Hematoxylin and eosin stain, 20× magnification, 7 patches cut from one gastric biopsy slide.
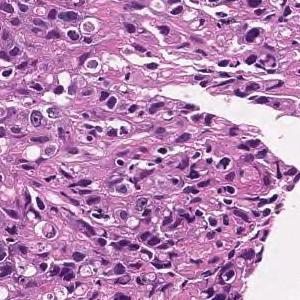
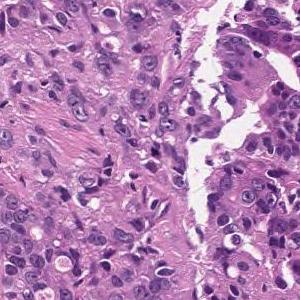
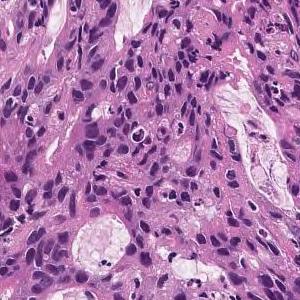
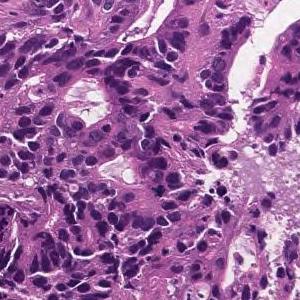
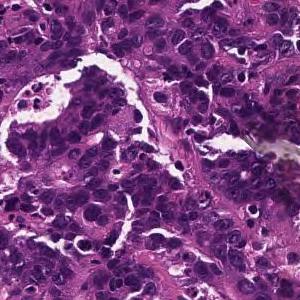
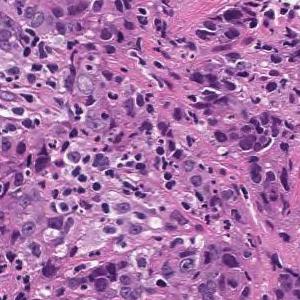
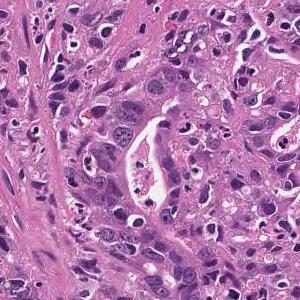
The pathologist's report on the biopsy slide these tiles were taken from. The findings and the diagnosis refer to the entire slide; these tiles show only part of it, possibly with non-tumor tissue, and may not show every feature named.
In the superficial epithelium, tumor tissue that invades by forming medium-sized to small, irregular ducts is observed. moderately differentiated tubular adenocarcinoma.
